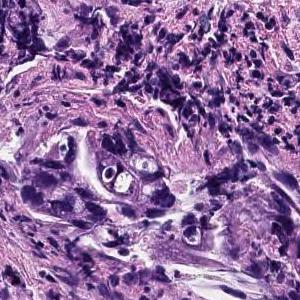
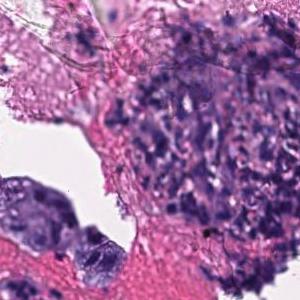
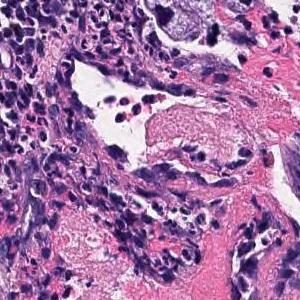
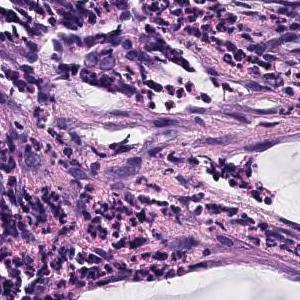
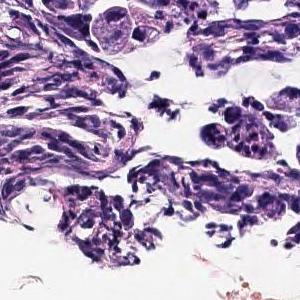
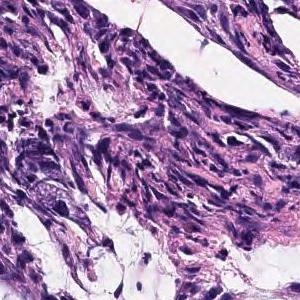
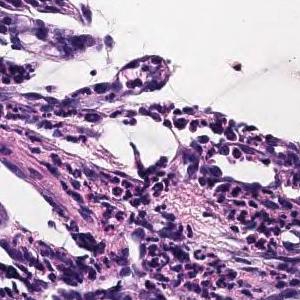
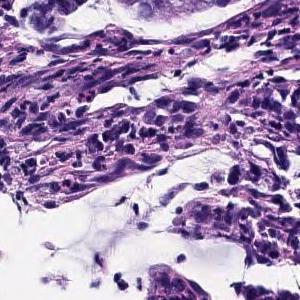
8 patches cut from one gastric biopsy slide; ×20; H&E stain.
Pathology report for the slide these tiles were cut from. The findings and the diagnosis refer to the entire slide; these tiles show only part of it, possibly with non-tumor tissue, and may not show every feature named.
The superficial epithelium shows small cord-like infiltrating tumor tissue. Some part of neoplastic cells are signet ring cell type which show single invasion manner. Poorly differentiated adenocarcinoma, non-solid type.
"Non-solid type" is a category of the Japanese Classification of Gastric Carcinoma.
